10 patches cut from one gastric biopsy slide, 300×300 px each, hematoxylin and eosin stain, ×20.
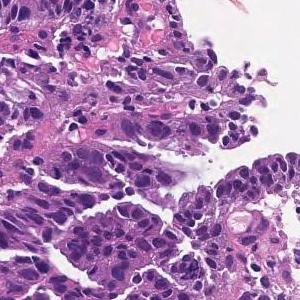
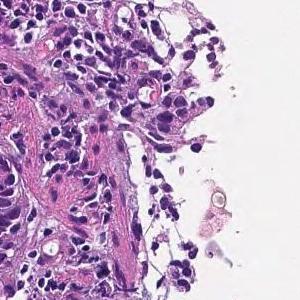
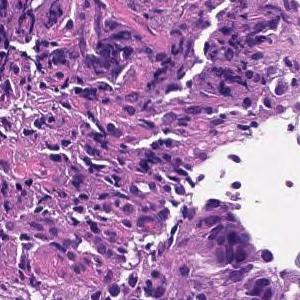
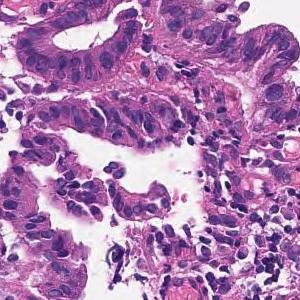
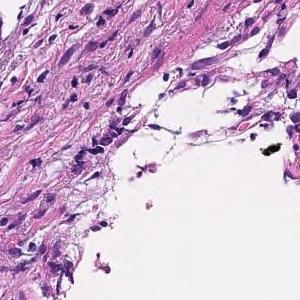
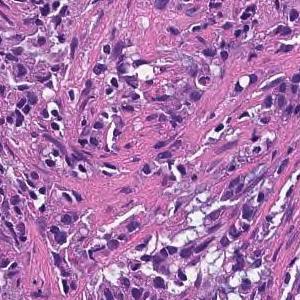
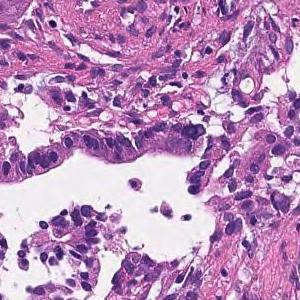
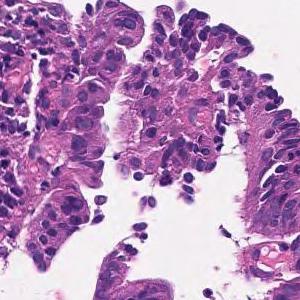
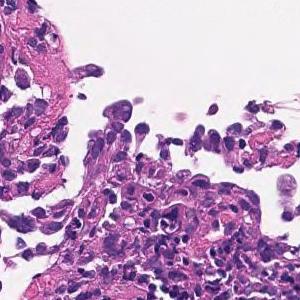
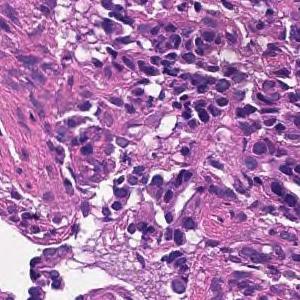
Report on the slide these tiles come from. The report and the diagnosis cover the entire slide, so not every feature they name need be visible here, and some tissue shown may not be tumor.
On the superficial epithelium, tumor tissue consisting of large, irregular glandular ducts partially fused and infiltrated is observed. Well to moderately differentiated tubular adenocarcinoma (well differentiated tubular adenocarcinoma, moderately differentiated tubular adenocarcinoma)
Subtype: Well to moderately differentiated tubular adenocarcinoma.
